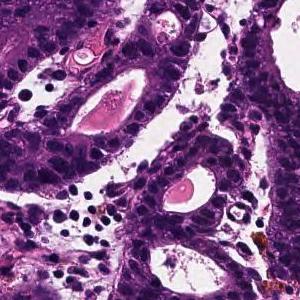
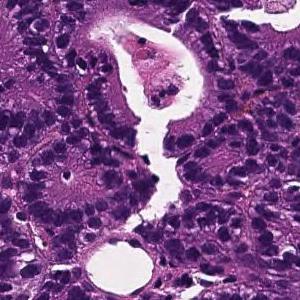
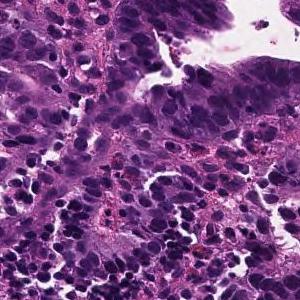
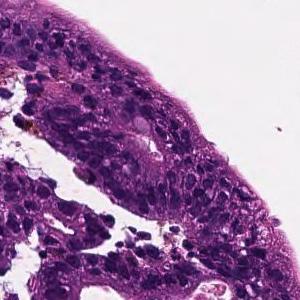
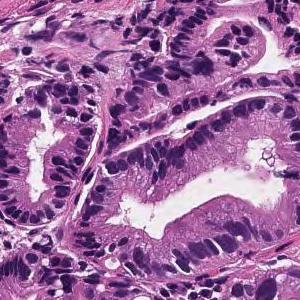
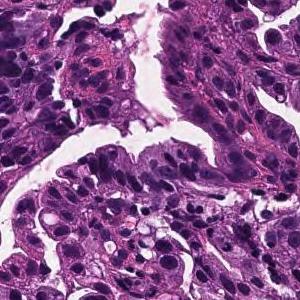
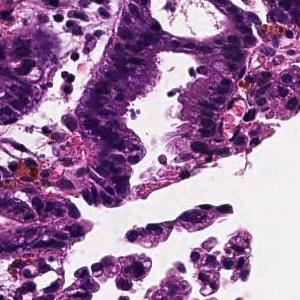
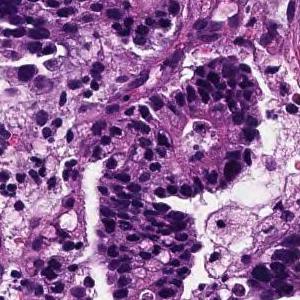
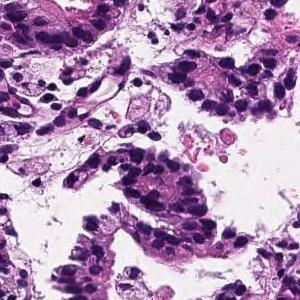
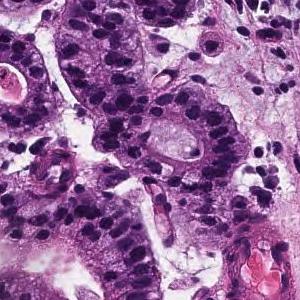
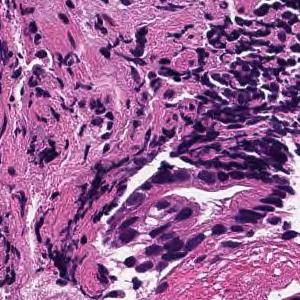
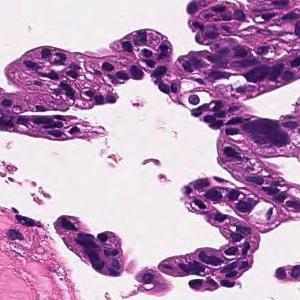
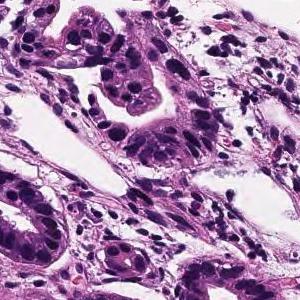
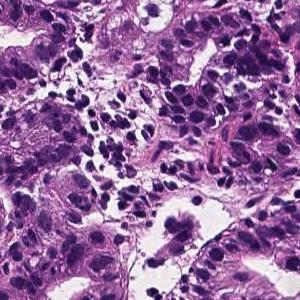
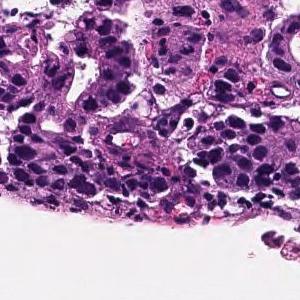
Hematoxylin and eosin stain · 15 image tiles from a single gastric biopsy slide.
Pathology report for the biopsy slide these tiles were cut from. What the report and the diagnosis say applies to the whole slide; these tiles may miss some of the features named and may include tissue that is not tumor.
From the superficial epithelium to the muscularis mucosae, tumor tissue consisting of medium-sized and irregular glandular ducts infiltrating is observed. Well differentiated tubular adenocarcinoma
